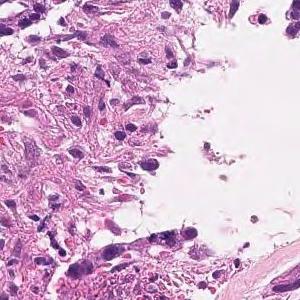
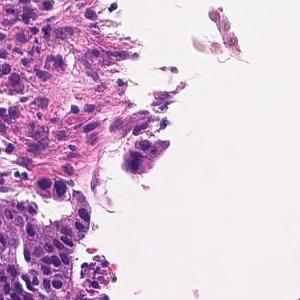
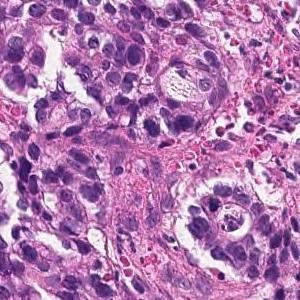
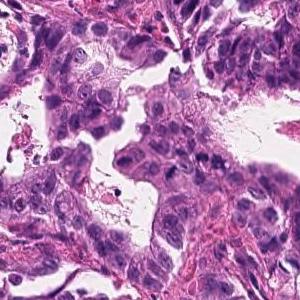
4 tiles from the same stomach biopsy slide, 300×300 px each, 20× magnification, hematoxylin and eosin stain.
Pathology report for the slide these tiles were cut from. The report describes the whole slide, diagnosis included: not every finding it names need appear in these tiles, which may also show non-tumor tissue.
On the superficial epithelium, tumor tissue consisting of images of small to medium-sized and irregular tubules infiltrating with irregular fusion is observed. moderately differentiated tubular adenocarcinoma
